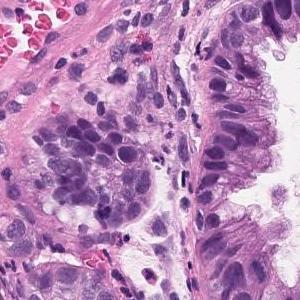
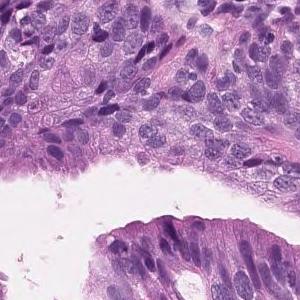
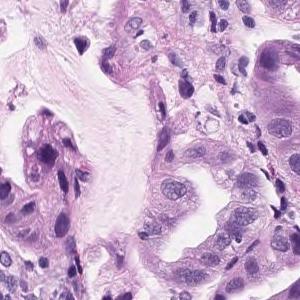
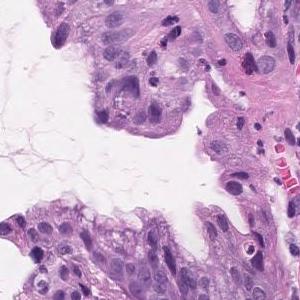
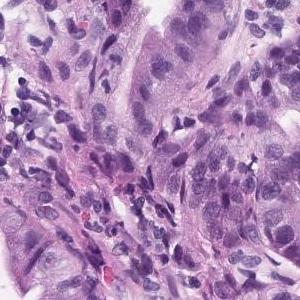
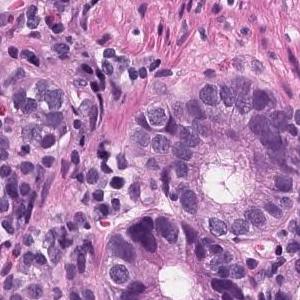
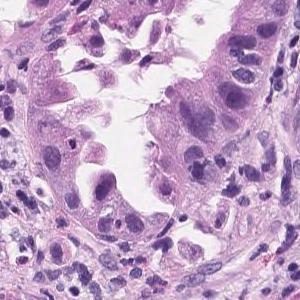
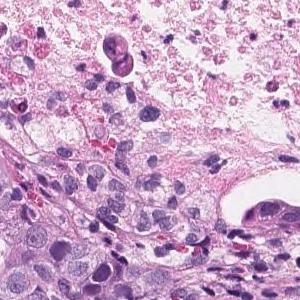
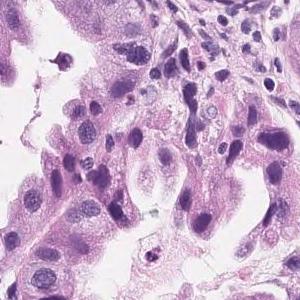
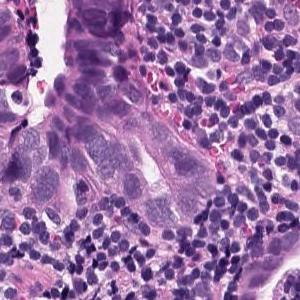
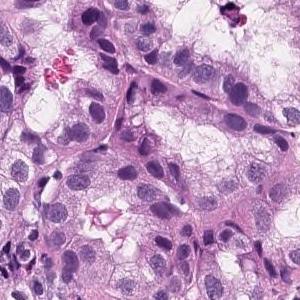
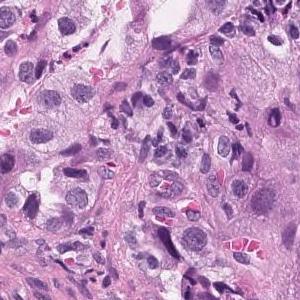
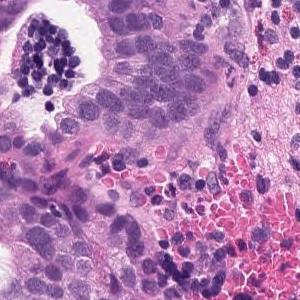
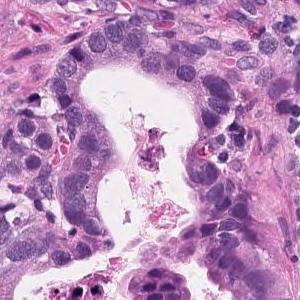
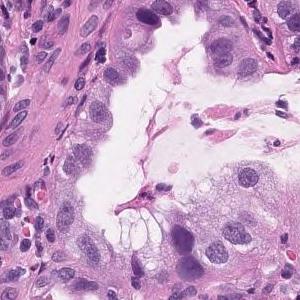
Hematoxylin and eosin stain, 15 tiles cut from one stomach biopsy slide, 300×300 px each.
Report on the slide these tiles come from. Both the report and the diagnosis are for the whole slide: these tiles need not show every feature named, and some of the tissue shown may not be tumor.
Tumor tissue consisting of medium-sized and irregular ducts is observed infiltrating in the superficial epithelium. Tumor cells are highly columnar, with nuclei aligned basolaterally and polarized. Well differentiated tubular adenocarcinoma.
